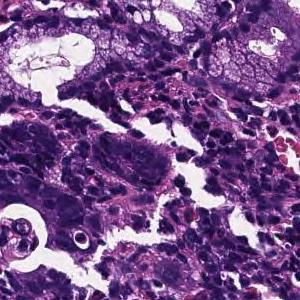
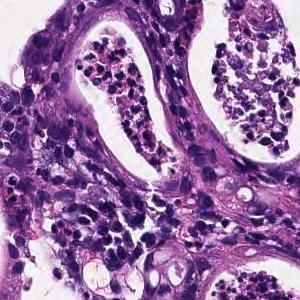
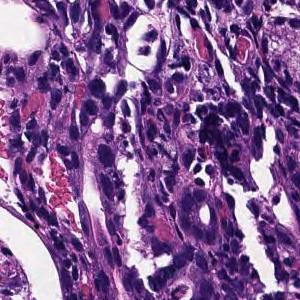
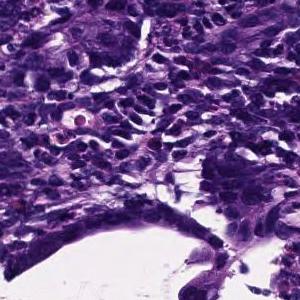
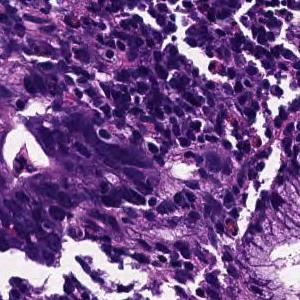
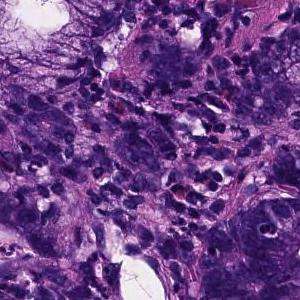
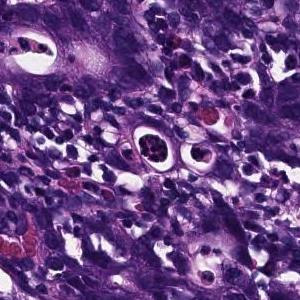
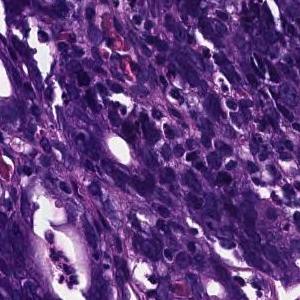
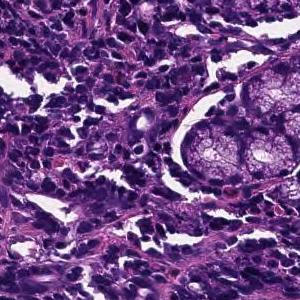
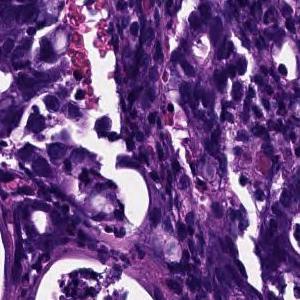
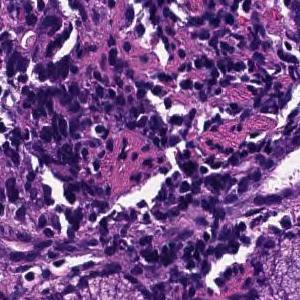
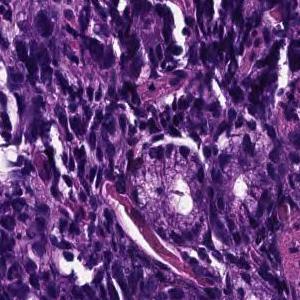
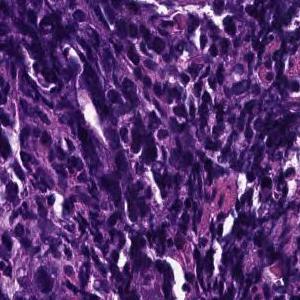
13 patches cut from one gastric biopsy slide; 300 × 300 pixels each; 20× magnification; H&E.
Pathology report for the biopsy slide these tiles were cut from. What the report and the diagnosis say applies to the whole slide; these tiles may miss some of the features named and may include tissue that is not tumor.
In the superficial epithelium, tumor tissue that invades by forming medium-sized to small, irregular ducts is observed. moderately differentiated tubular adenocarcinoma.
